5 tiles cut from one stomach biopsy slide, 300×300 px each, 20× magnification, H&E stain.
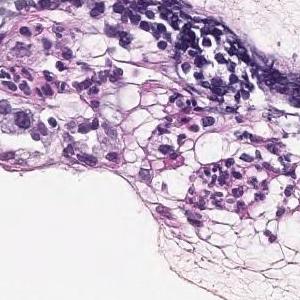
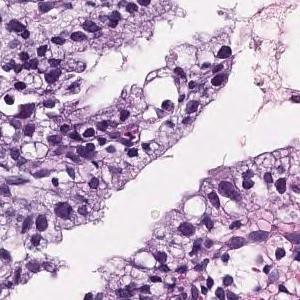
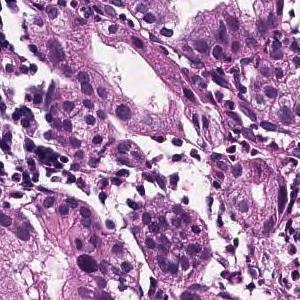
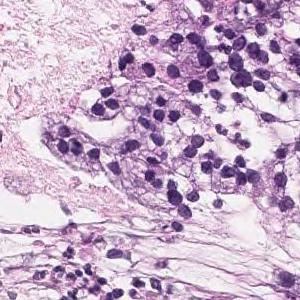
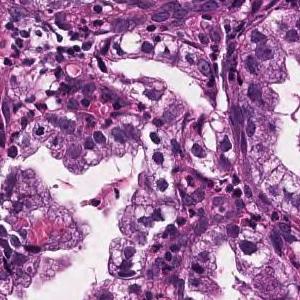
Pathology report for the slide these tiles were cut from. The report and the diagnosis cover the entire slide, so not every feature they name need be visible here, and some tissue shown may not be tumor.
In the superficial epithelium, tumor tissue that infiltrates by forming medium-sized papillary or small irregular ducts is observed. Papillary adenocarcinoma
